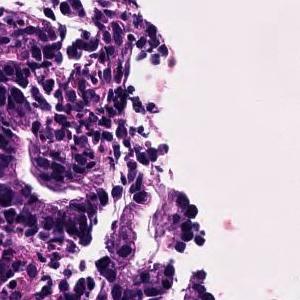
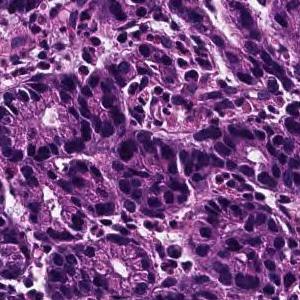
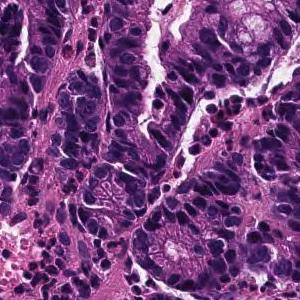
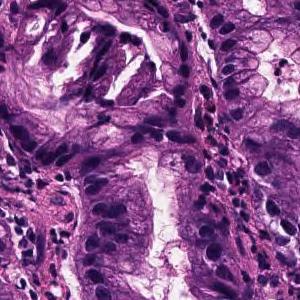
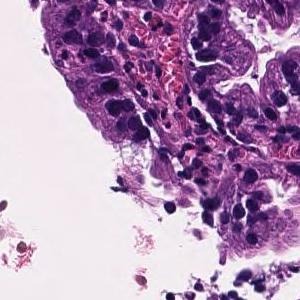
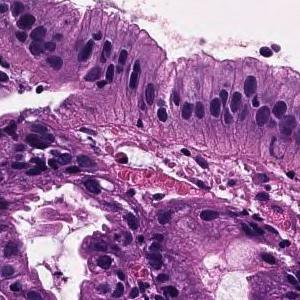
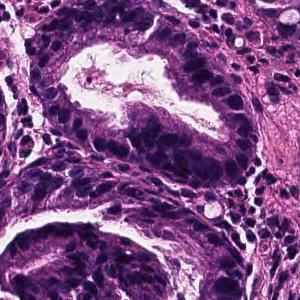
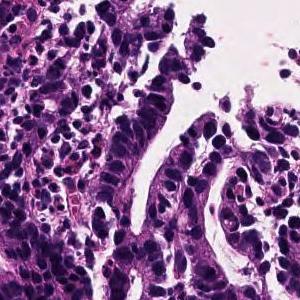
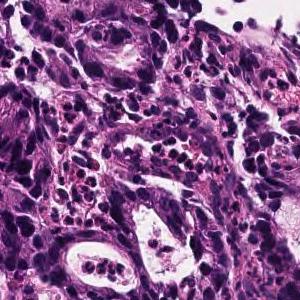
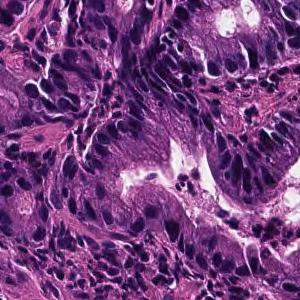
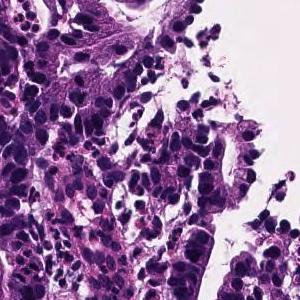
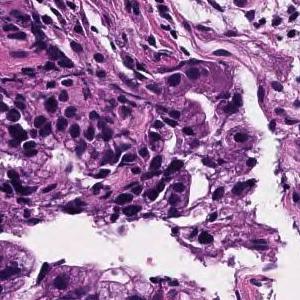
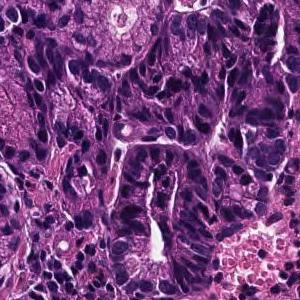
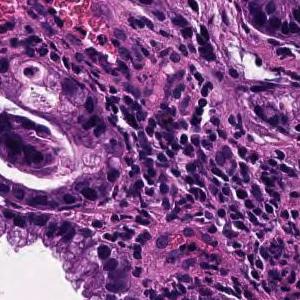
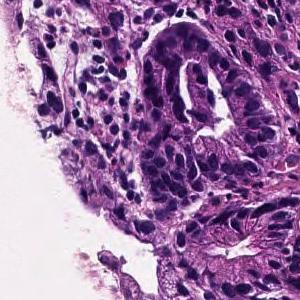
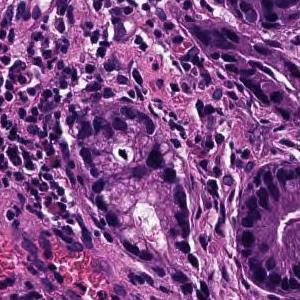
Scanned at ×20, H&E, 16 tiles cut from one stomach biopsy slide.
The pathologist's report on the biopsy slide these tiles were taken from. Both the report and the diagnosis are for the whole slide: these tiles need not show every feature named, and some of the tissue shown may not be tumor.
From the superficial epithelium to the muscularis mucosae, tumor tissue consisting of medium-sized and irregular glandular ducts infiltrating is observed. Well differentiated tubular adenocarcinoma
